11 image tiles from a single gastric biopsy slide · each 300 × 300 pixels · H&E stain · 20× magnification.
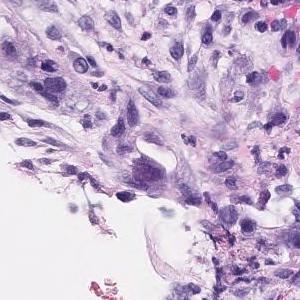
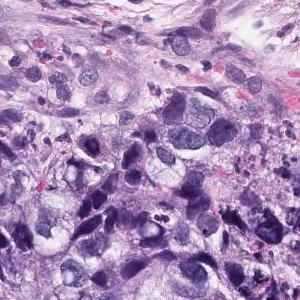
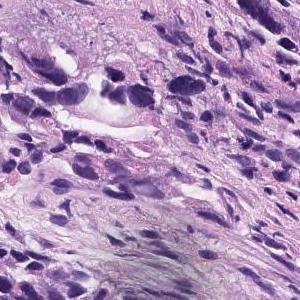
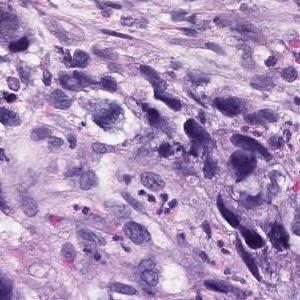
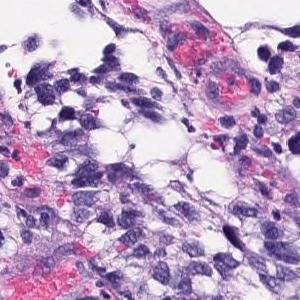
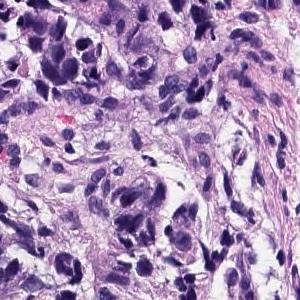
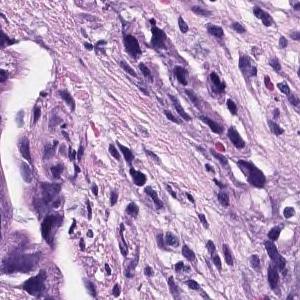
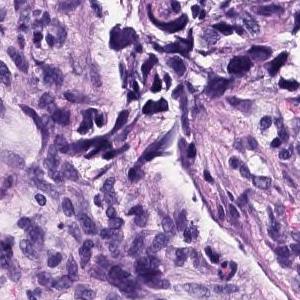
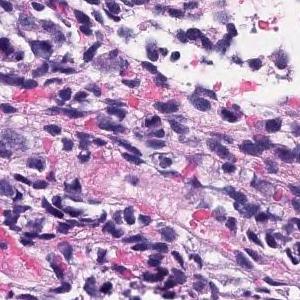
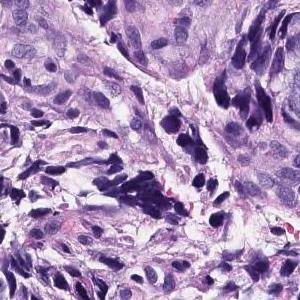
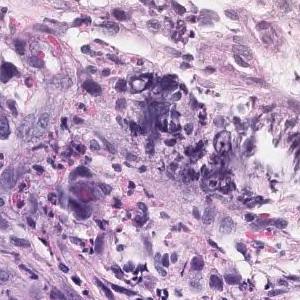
Pathology report for the slide these tiles were cut from. The findings and the diagnosis refer to the entire slide; these tiles show only part of it, possibly with non-tumor tissue, and may not show every feature named.
The superficial epithelium shows small cord-like infiltrating tumor tissue. Some part of neoplastic cells are signet ring cell type which show single invasion manner. Poorly differentiated adenocarcinoma, non-solid type.
The non-solid type named here is a Japanese Classification of Gastric Carcinoma category.
